H&E · scanned at ×20 · 15 tiles from the same stomach biopsy slide.
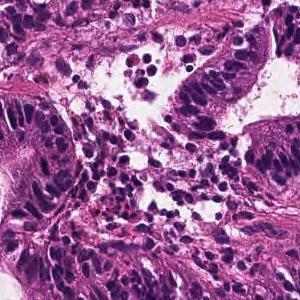
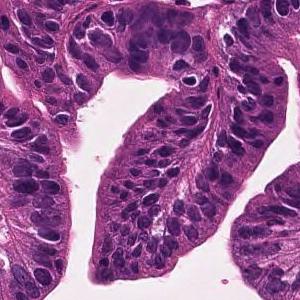
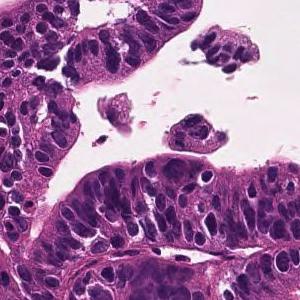
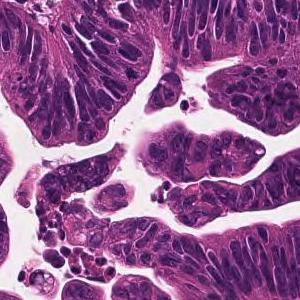
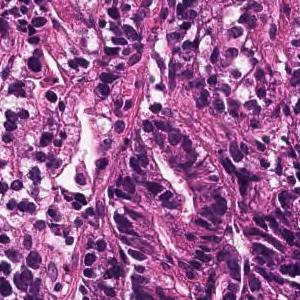
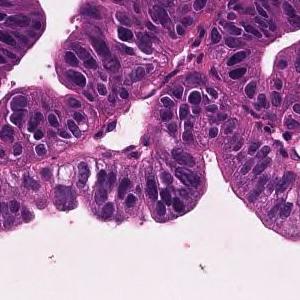
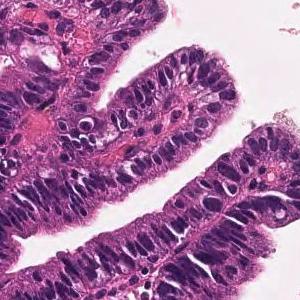
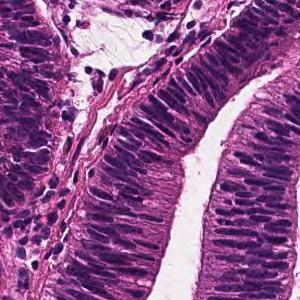
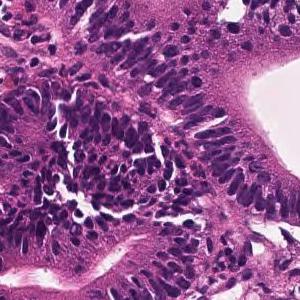
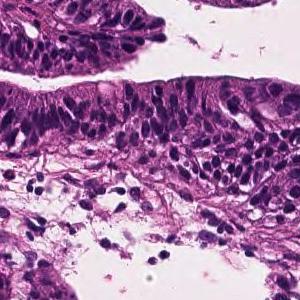
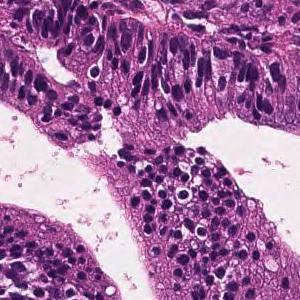
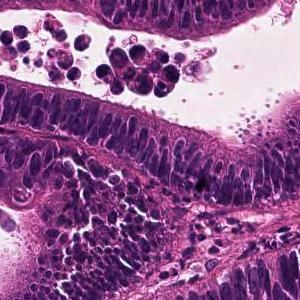
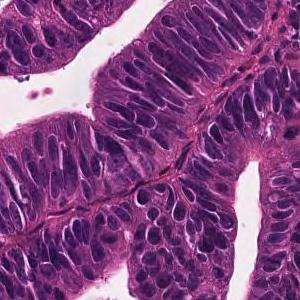
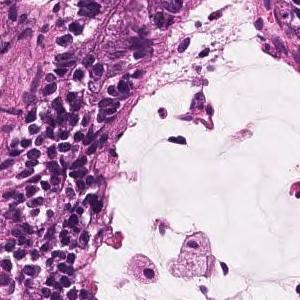
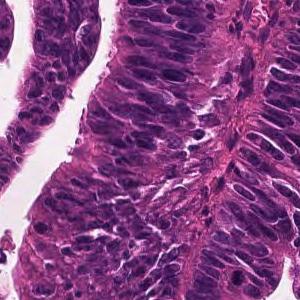
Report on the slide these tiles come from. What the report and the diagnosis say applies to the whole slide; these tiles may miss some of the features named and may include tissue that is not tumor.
A large irregular tubular structure is exhibited in the epithelium, and tumor tissue that partially fuses and infiltrates and proliferates is observed. Large columnar tumor cells exhibit enlarged nucleus, hyperchromatism, and mitotic figures. Well differentiated tubular adenocarcinoma
